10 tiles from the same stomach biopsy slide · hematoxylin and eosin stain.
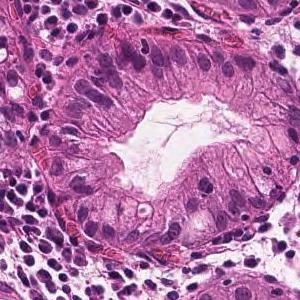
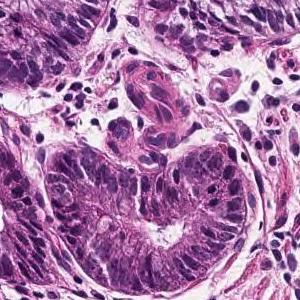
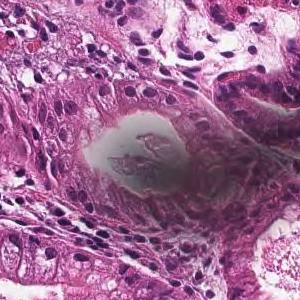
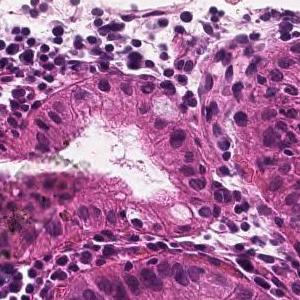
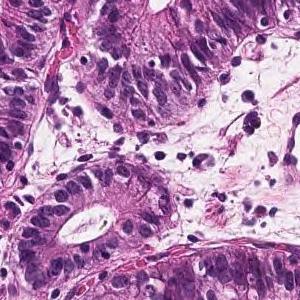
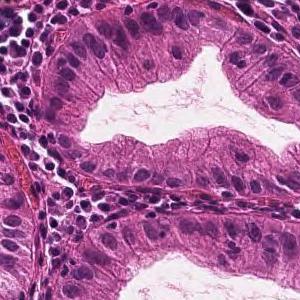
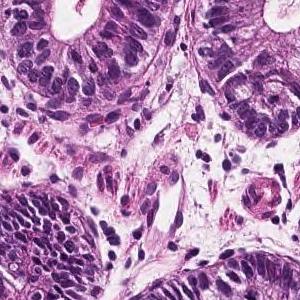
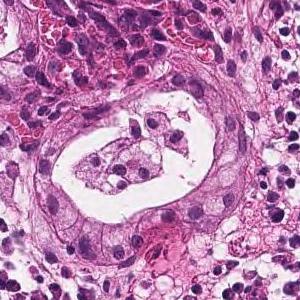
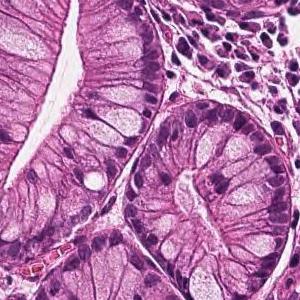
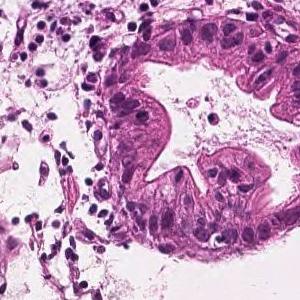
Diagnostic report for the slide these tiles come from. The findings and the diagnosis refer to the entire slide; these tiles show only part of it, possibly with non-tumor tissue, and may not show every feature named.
In the superficial epithelium, tumor tissue that invades by forming medium-sized to small, irregular ducts is observed. Well differentiated tubular adenocarcinoma.
